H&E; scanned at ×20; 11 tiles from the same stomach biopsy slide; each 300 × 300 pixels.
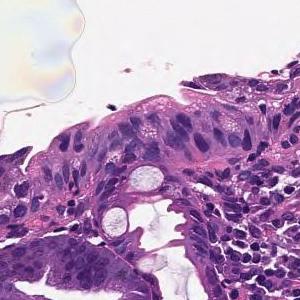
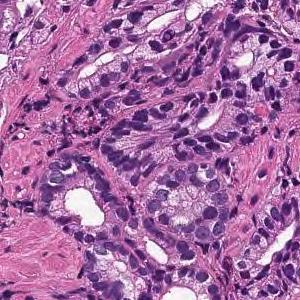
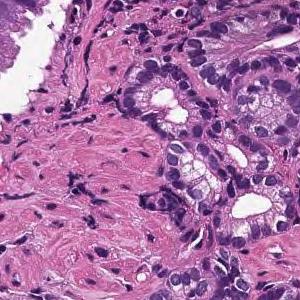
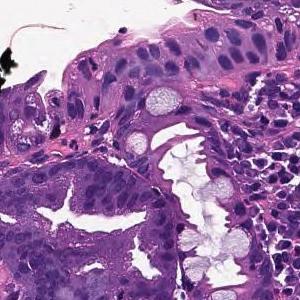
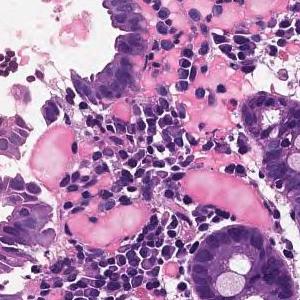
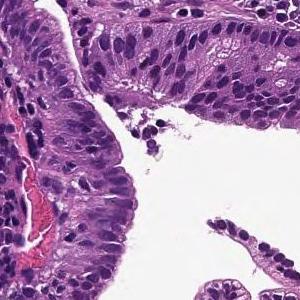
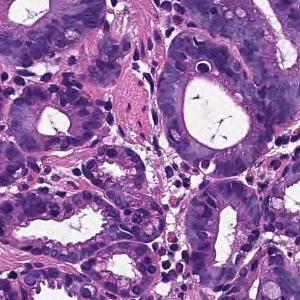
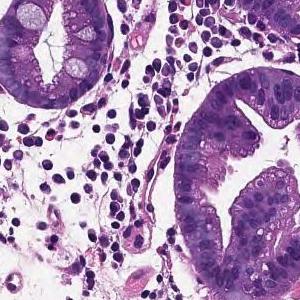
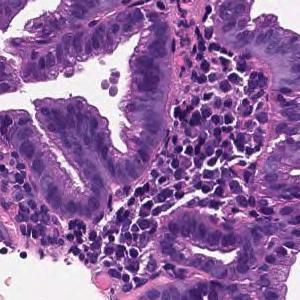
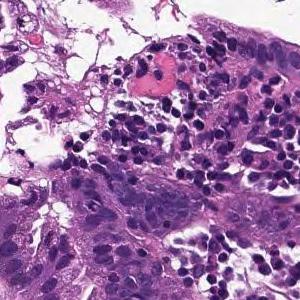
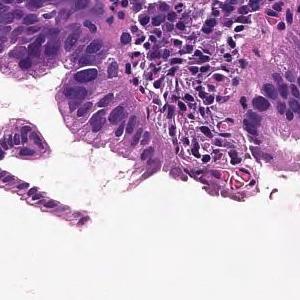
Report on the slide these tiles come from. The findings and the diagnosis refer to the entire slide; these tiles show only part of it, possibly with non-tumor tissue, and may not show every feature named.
From the superficial epithelium to the muscularis mucosae, tumor tissue consisting of medium-sized and irregular glandular ducts infiltrating is observed. Well differentiated tubular adenocarcinoma
